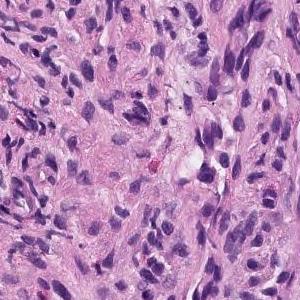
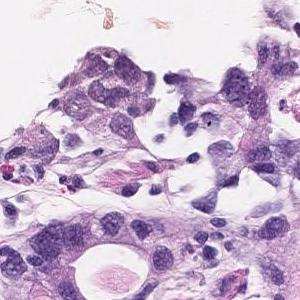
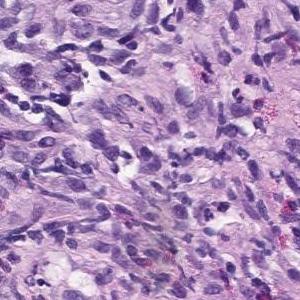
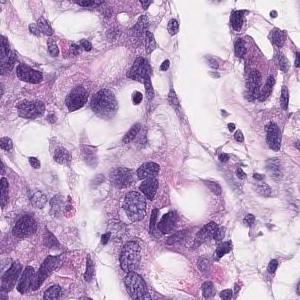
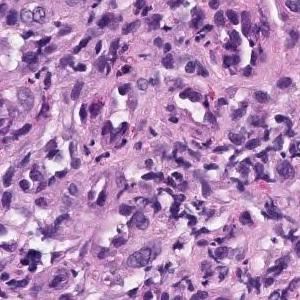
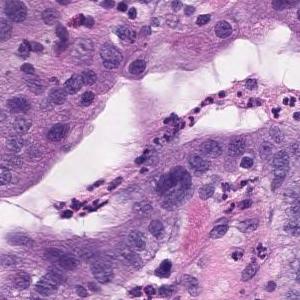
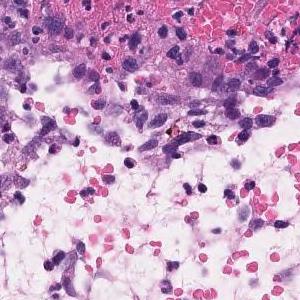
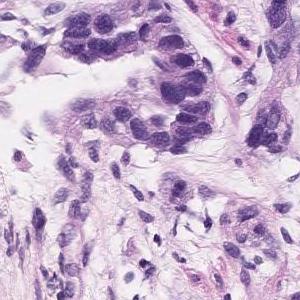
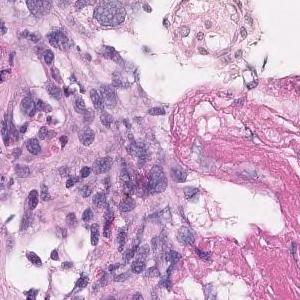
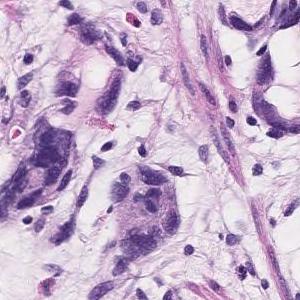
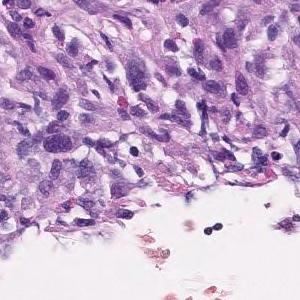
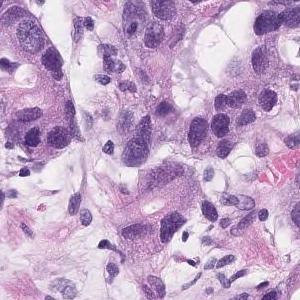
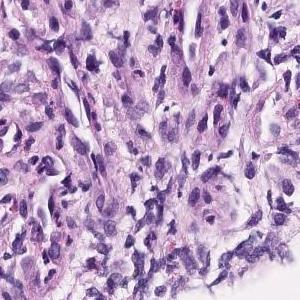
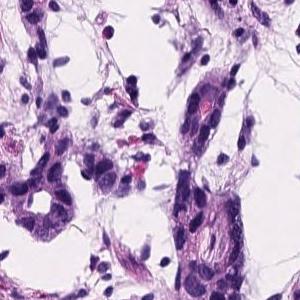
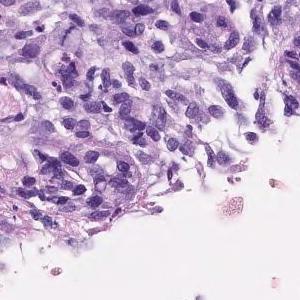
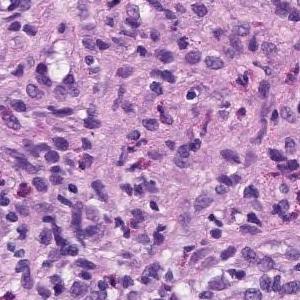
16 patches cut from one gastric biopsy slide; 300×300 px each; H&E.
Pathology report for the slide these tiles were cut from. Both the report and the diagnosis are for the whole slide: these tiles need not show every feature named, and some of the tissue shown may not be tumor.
Group 5, Adenocarcinoma. Moderately to poorly differentiated adenocarcinoma
